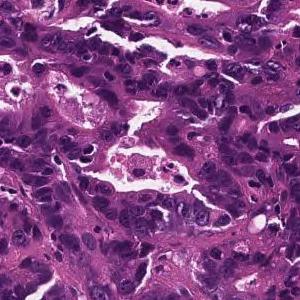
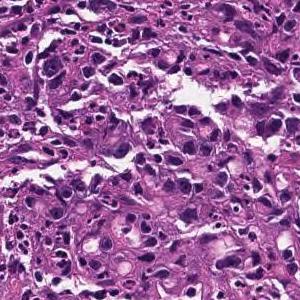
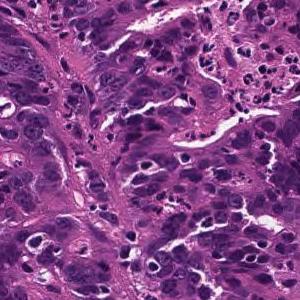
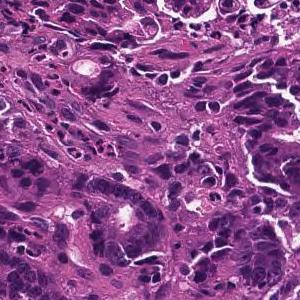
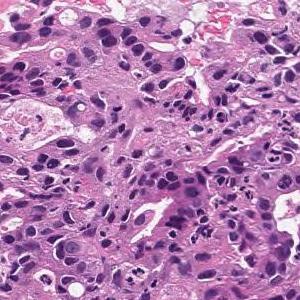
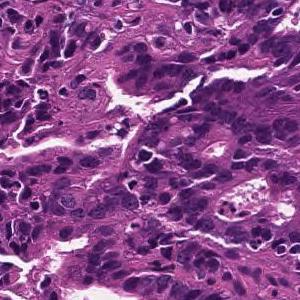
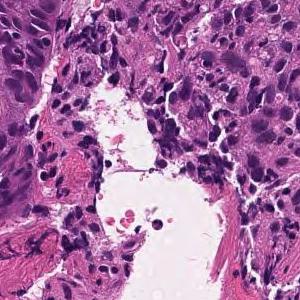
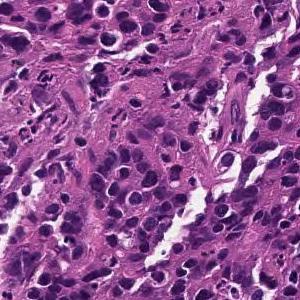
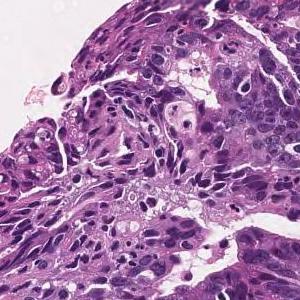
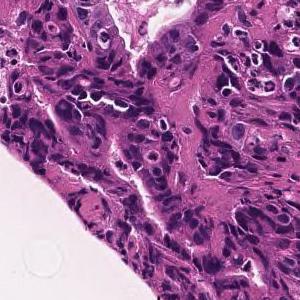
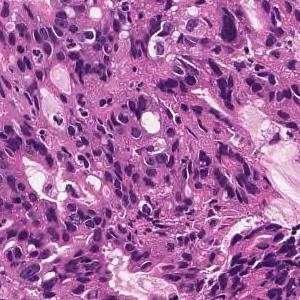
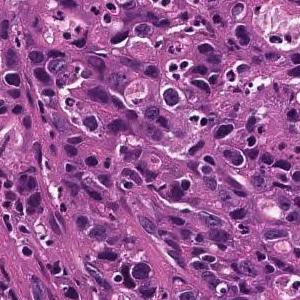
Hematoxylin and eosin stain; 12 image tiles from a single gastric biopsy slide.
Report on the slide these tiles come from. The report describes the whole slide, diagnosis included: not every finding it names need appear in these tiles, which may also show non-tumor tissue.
In the superficial epithelium, tumor tissue that invades by forming medium-sized to small, irregular ducts is observed. moderately differentiated tubular adenocarcinoma.
